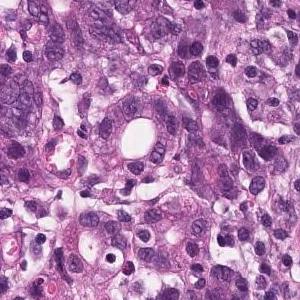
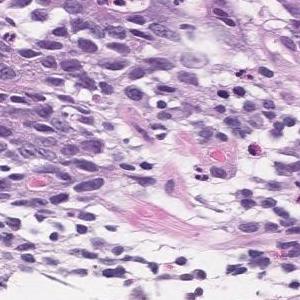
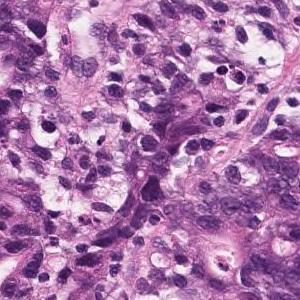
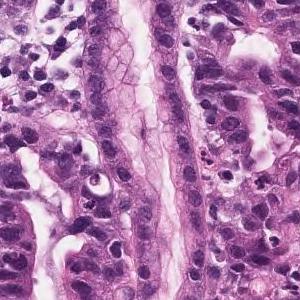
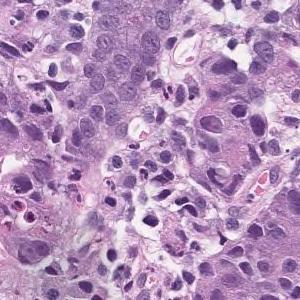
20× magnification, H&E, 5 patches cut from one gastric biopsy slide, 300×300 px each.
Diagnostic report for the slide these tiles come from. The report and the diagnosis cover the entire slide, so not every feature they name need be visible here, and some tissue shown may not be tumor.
It is mixed with the existing pit epithelium and pyloric gland epithelium, and irregularly fused and branched atypical ducts are observed. Moderately differentiated tubular adenocarcinoma (well differentiated tubular adenocarcinoma)
Labeled in the dataset as moderately differentiated tubular adenocarcinoma.
